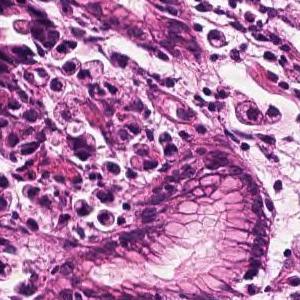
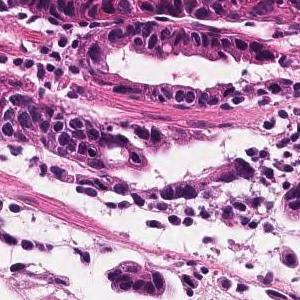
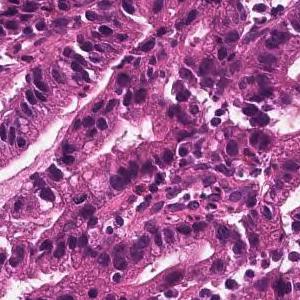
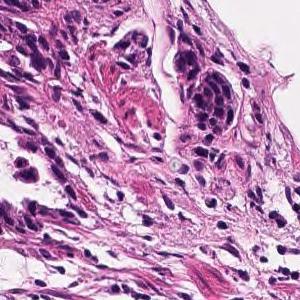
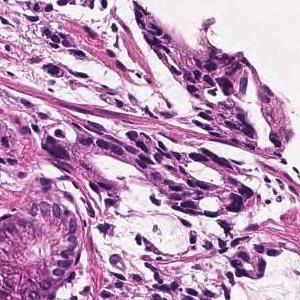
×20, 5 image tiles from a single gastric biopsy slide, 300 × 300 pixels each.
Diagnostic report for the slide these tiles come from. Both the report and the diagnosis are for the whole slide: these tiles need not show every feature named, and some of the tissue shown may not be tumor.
In the superficial epithelium, tumor tissue that invades by forming medium-sized to small, irregular ducts is observed. moderately differentiated tubular adenocarcinoma.
